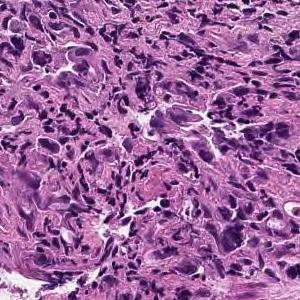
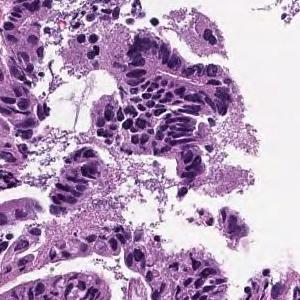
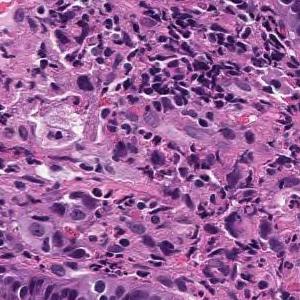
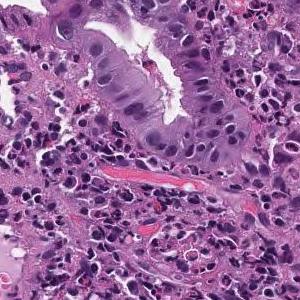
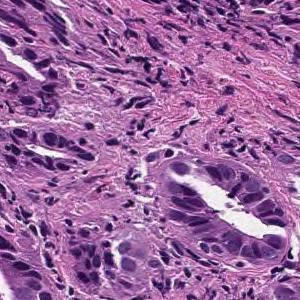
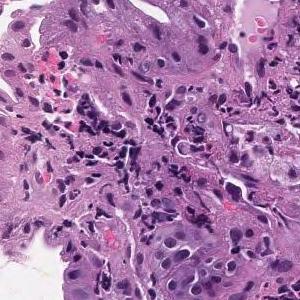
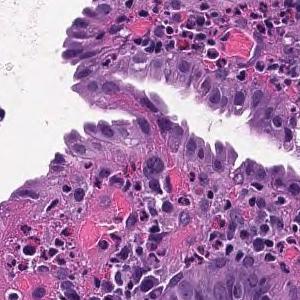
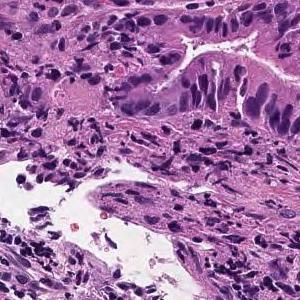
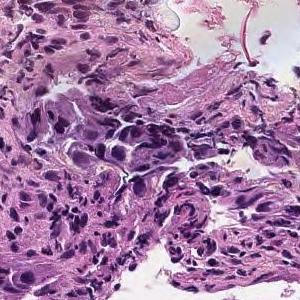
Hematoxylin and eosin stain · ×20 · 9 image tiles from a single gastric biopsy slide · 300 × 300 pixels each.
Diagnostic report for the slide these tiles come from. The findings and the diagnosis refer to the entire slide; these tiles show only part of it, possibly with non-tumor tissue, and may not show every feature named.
On the superficial epithelium, tumor tissue consisting of large, irregular glandular ducts partially fused and infiltrated is observed. Well to moderately differentiated tubular adenocarcinoma (well differentiated tubular adenocarcinoma, moderately differentiated tubular adenocarcinoma)
Histologic type: Well to moderately differentiated tubular adenocarcinoma.
